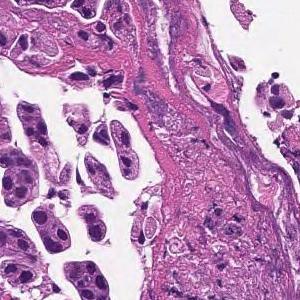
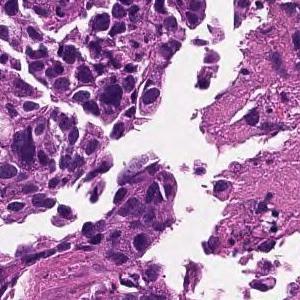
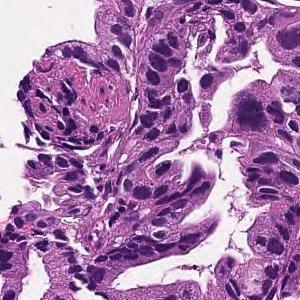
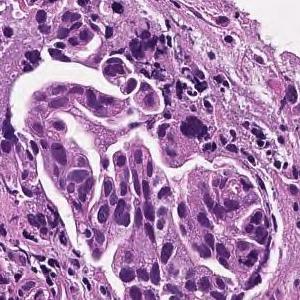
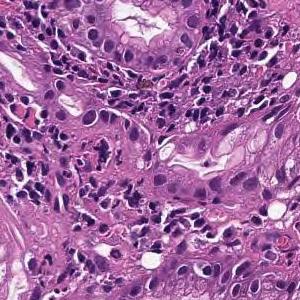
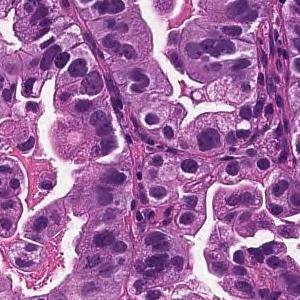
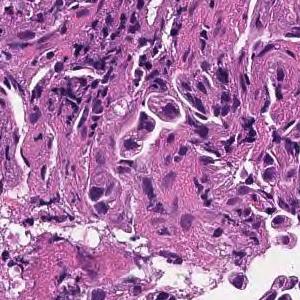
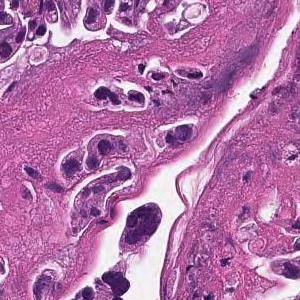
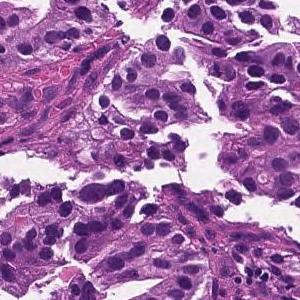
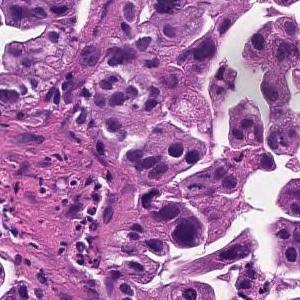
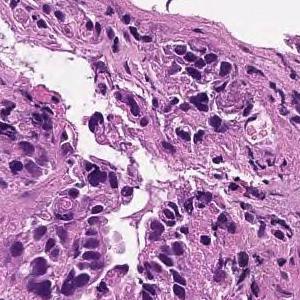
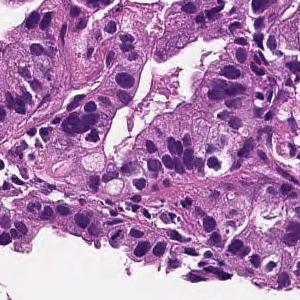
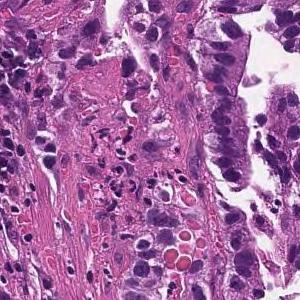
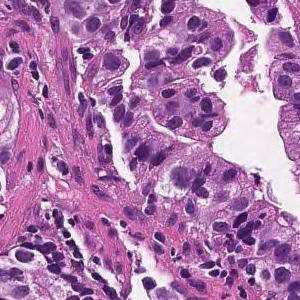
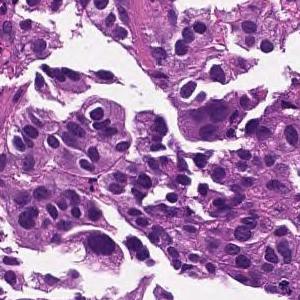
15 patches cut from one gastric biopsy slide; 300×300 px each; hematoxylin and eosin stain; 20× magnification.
Pathology report for the biopsy slide these tiles were cut from. Both the report and the diagnosis are for the whole slide: these tiles need not show every feature named, and some of the tissue shown may not be tumor.
Medium to small, irregular glandular ducts are formed in the superficial epithelium, and in some cases, the glandular ducts are fused to show solid alveolar lesions and infiltrating tumor tissue is observed. Moderately to poorly differentiated adenocarcinoma.
